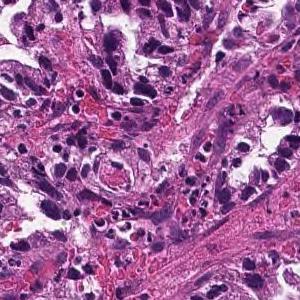
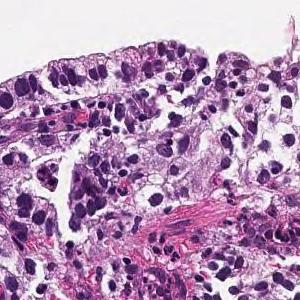
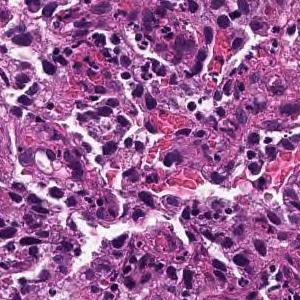
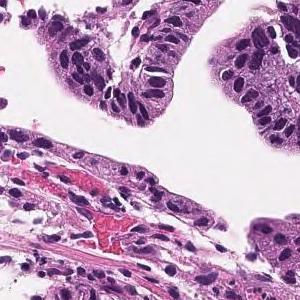
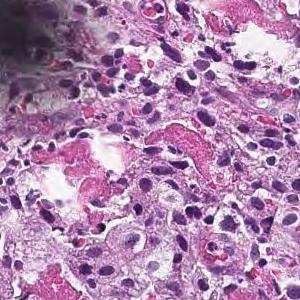
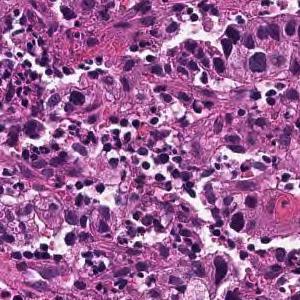
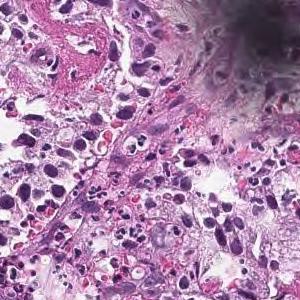
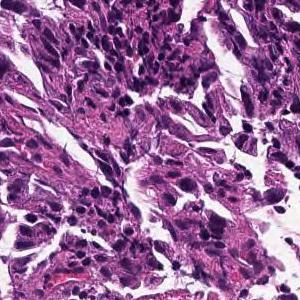
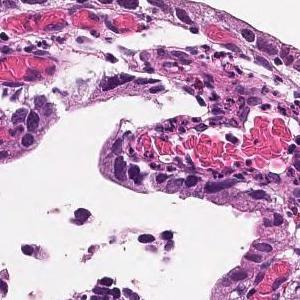
9 tiles from the same stomach biopsy slide · 20× magnification · H&E stain.
Pathology report for the biopsy slide these tiles were cut from. The report and the diagnosis cover the entire slide, so not every feature they name need be visible here, and some tissue shown may not be tumor.
Tumor tissue consisting of medium-sized, cord-like or irregular glandular infiltration is observed in the superficial epithelium. Poorly differentiated adenocarcinoma, non-solid type or moderately differentiated tubular adenocarcinoma
Histological subtype: Moderately to poorly differentiated adenocarcinoma.
The term "non-solid type" comes from the Japanese Classification of Gastric Carcinoma.
